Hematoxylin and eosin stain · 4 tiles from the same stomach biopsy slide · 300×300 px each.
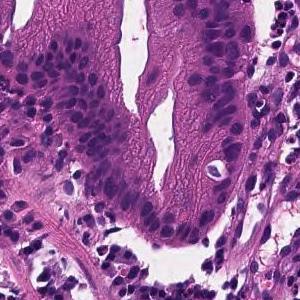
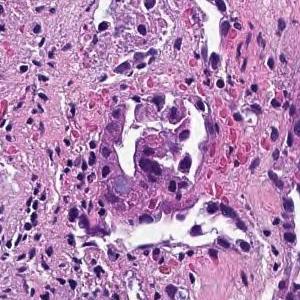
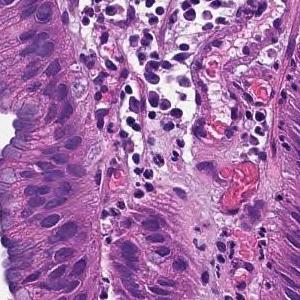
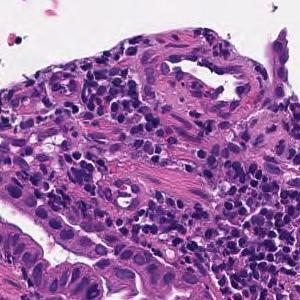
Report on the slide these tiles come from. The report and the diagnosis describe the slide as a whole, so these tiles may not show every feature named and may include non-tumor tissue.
On the superficial epithelium, tumor tissue that infiltrates by forming medium-sized papillary or small irregular ducts is observed. Papillary adenocarcinoma
